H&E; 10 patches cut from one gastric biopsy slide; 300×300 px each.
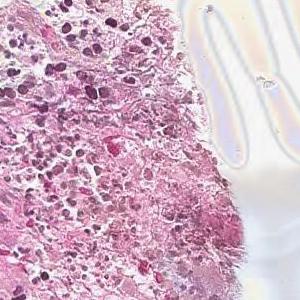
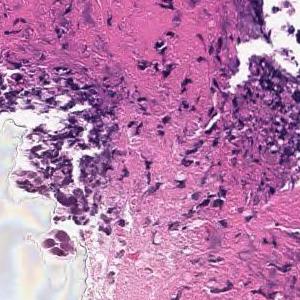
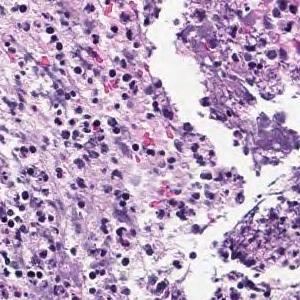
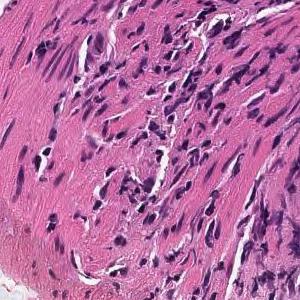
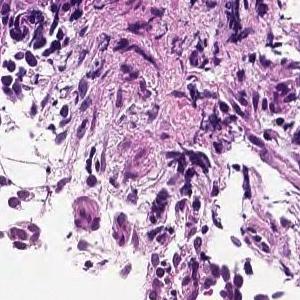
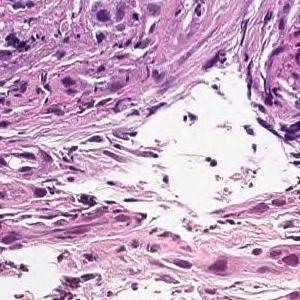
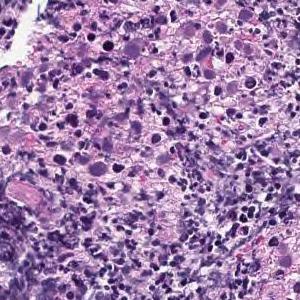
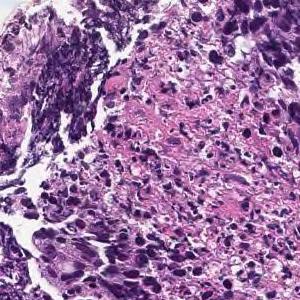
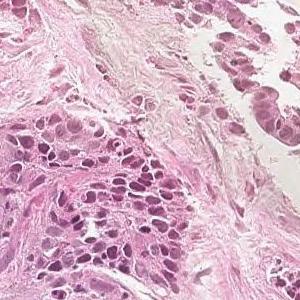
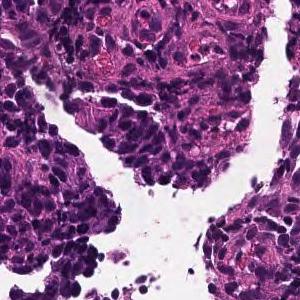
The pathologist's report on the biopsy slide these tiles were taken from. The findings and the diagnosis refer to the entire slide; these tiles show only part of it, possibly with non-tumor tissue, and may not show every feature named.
In the superficial epithelium, tumor tissue that invades by forming medium-sized to small, irregular ducts is observed. moderately differentiated tubular adenocarcinoma.
